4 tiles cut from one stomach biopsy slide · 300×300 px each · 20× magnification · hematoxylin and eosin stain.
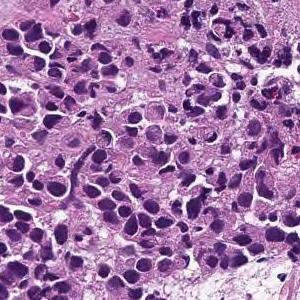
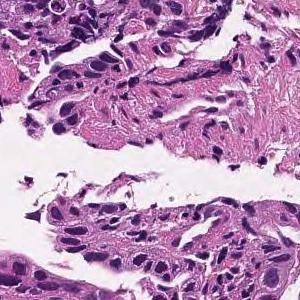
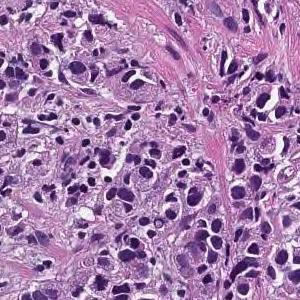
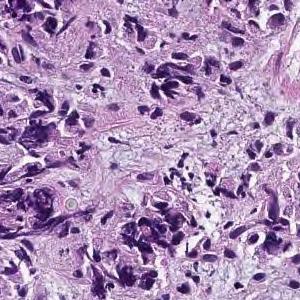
Pathology report for the slide these tiles were cut from. The report describes the whole slide, diagnosis included: not every finding it names need appear in these tiles, which may also show non-tumor tissue.
The lamina propria shows small cord-like tumor tissue that infiltrates with fibrosis and marked chronic inflammatory cell infiltration. Poorly differentiated adenocarcinoma, non-solid type
"Non-solid type" is a category of the Japanese Classification of Gastric Carcinoma.
